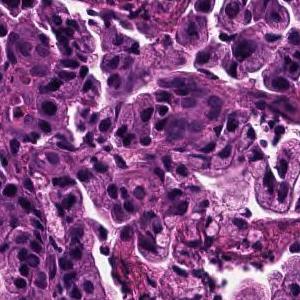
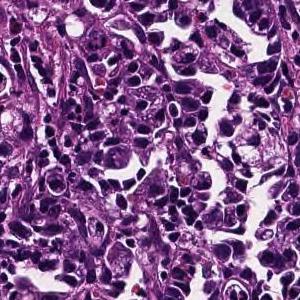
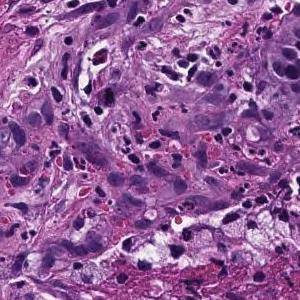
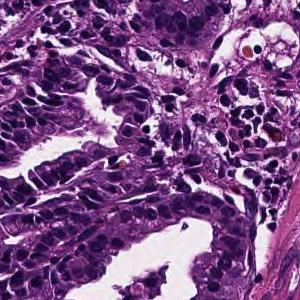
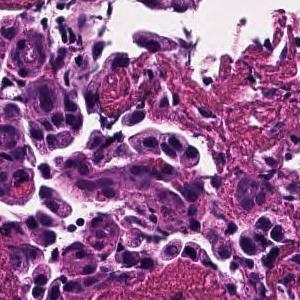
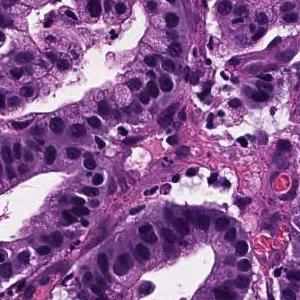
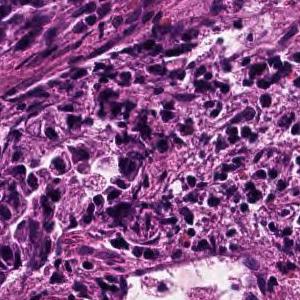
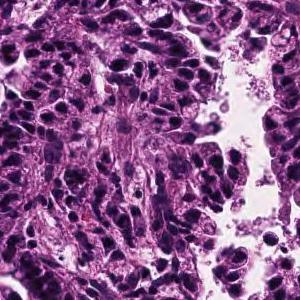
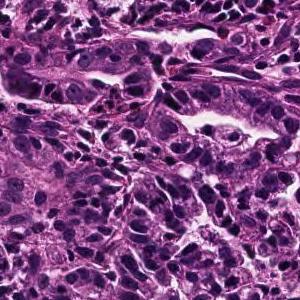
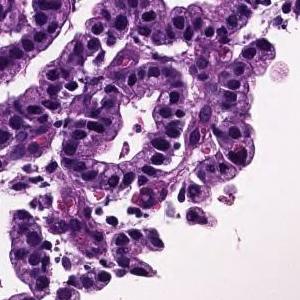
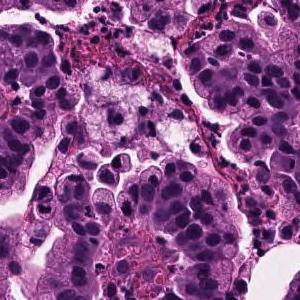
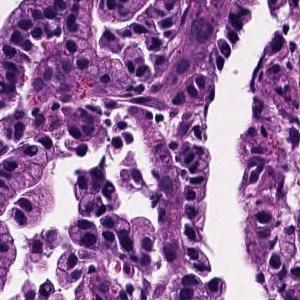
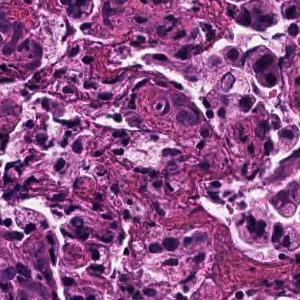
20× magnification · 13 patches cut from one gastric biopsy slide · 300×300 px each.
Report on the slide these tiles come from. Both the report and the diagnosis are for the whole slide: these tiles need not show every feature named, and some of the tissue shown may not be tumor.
Tumor cells are large, highly columnar, large club-shaped nuclei, and are associated with chromatin aggregation. Papillary adenocarcinoma.
